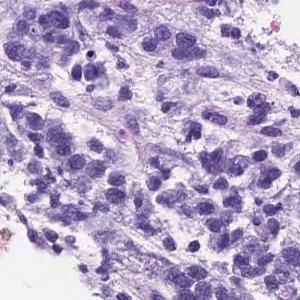
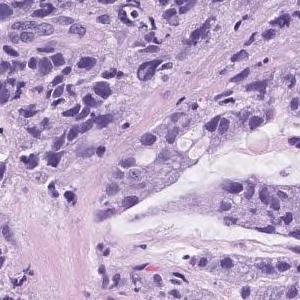
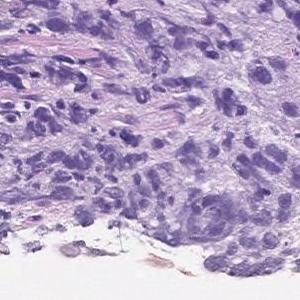
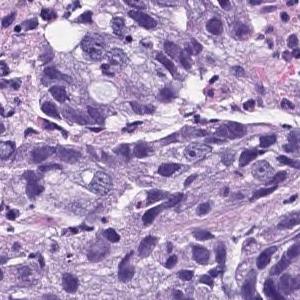
4 tiles from the same stomach biopsy slide; 300 × 300 pixels each; 20× magnification; hematoxylin and eosin stain.
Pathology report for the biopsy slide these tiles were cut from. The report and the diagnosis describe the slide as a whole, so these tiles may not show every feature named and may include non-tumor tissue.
Atypical l cells with atypical nuclei forming solid vesicles or small irregular atypical ducts that proliferate in a complex manner. poorly differentiated adenocarcinoma, solid type, moderately differentiated tubular adenocarcinoma
"Solid type" is a category of the Japanese Classification of Gastric Carcinoma; in the WHO 2019 classification it is tubular adenocarcinoma, poorly differentiated.
